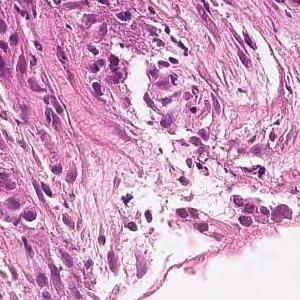
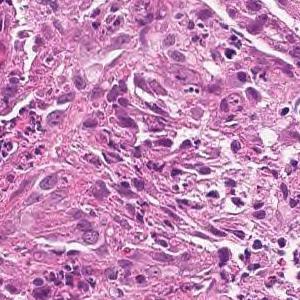
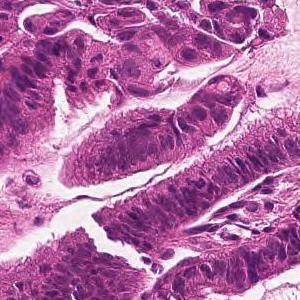
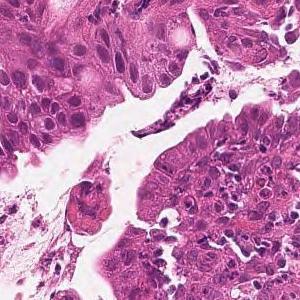
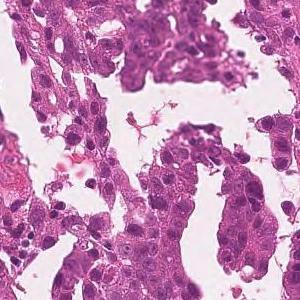
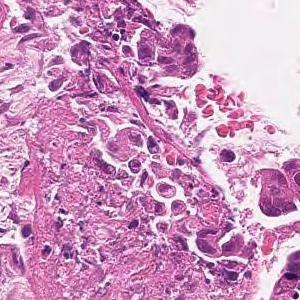
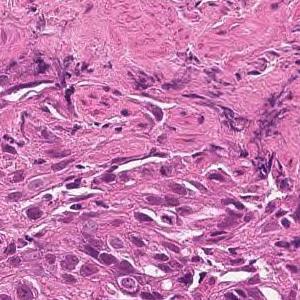
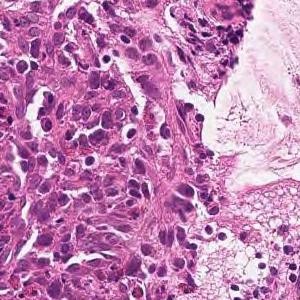
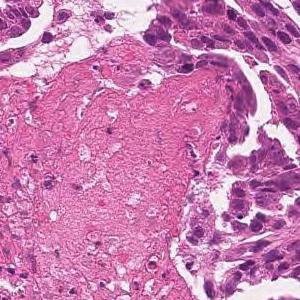
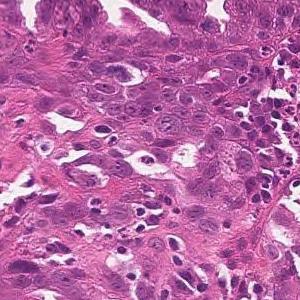
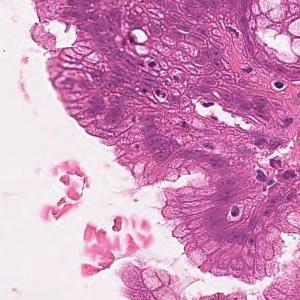
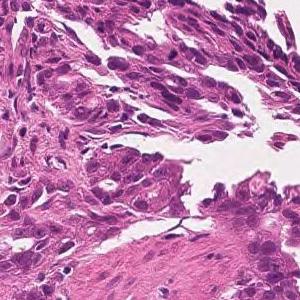
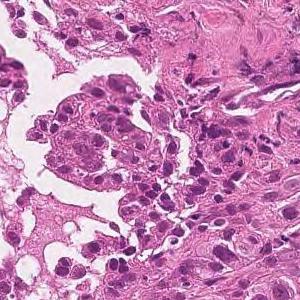
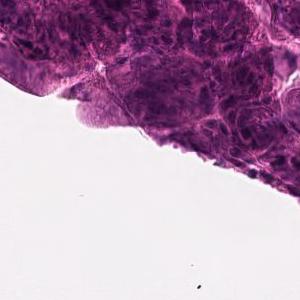
14 tiles from the same stomach biopsy slide · H&E · 20× magnification.
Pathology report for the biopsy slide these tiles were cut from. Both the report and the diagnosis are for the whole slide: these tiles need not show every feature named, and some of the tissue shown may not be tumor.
Tumor tissue consisting of large papillary structures is found in the superficial epithelium. Papillary adenocarcinoma.
